H&E; 9 image tiles from a single gastric biopsy slide; 300×300 px each.
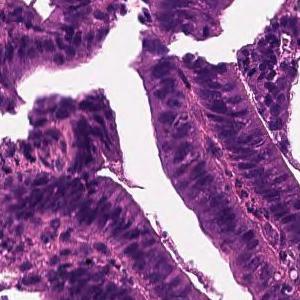
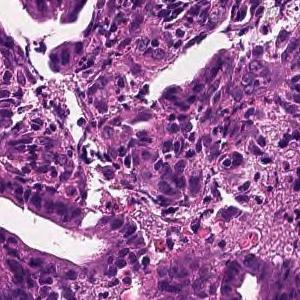
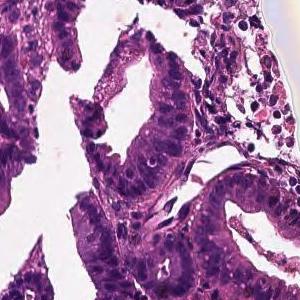
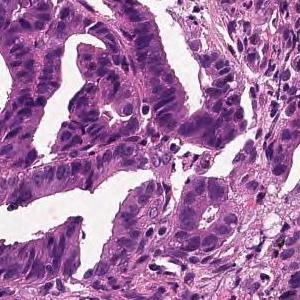
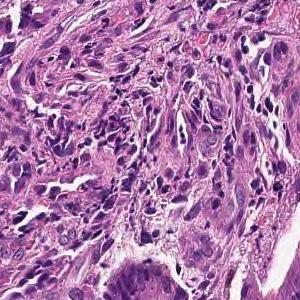
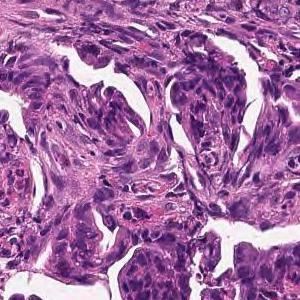
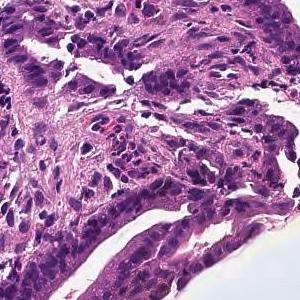
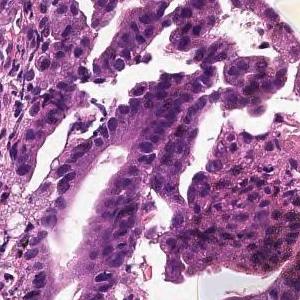
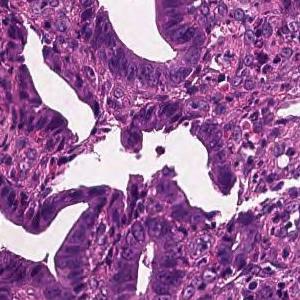
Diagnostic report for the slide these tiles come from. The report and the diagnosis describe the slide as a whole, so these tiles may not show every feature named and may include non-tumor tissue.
From the superficial epithelium to the muscularis mucosae, tumor tissue consisting of medium-sized and irregular glandular ducts infiltrating is observed. Well differentiated tubular adenocarcinoma
